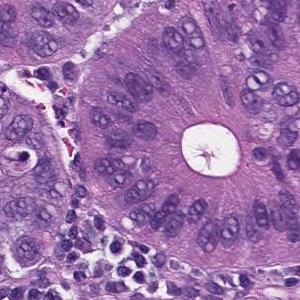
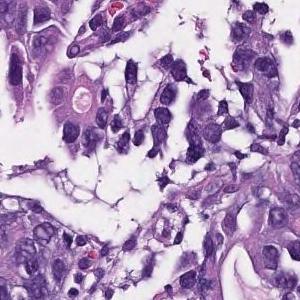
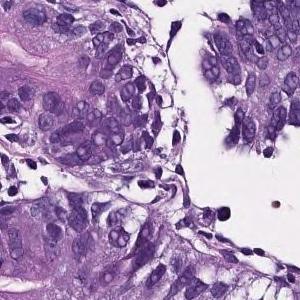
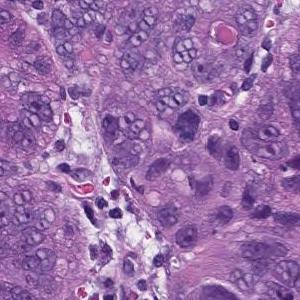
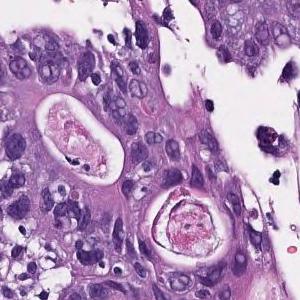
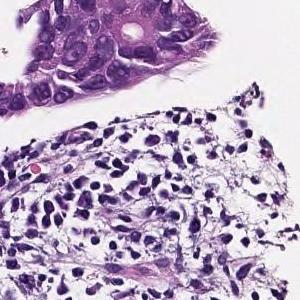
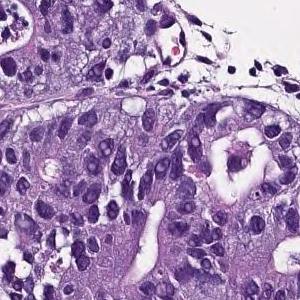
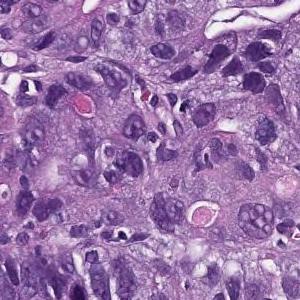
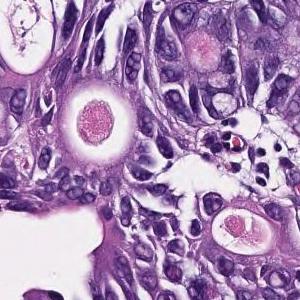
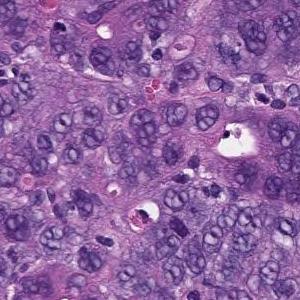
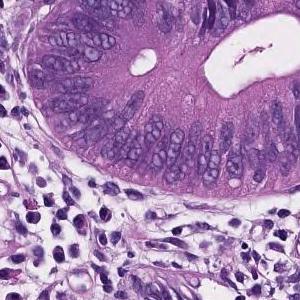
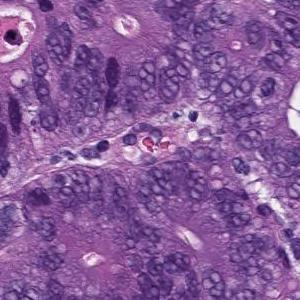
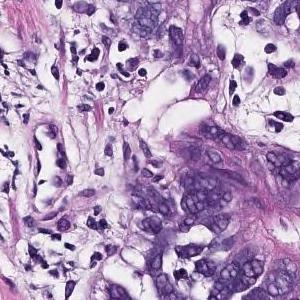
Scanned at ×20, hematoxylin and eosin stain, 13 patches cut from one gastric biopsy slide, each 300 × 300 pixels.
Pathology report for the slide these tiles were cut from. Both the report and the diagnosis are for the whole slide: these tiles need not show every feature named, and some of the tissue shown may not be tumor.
In the superficial epithelium, tumor tissue that invades by forming medium-sized to small, irregular ducts is observed. moderately differentiated tubular adenocarcinoma.
